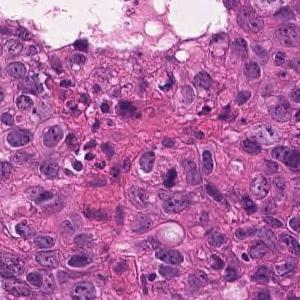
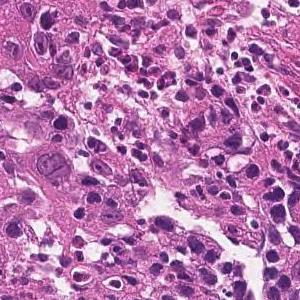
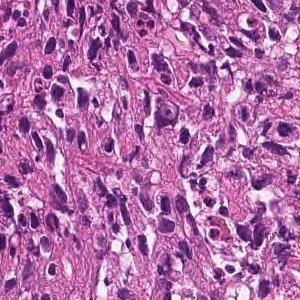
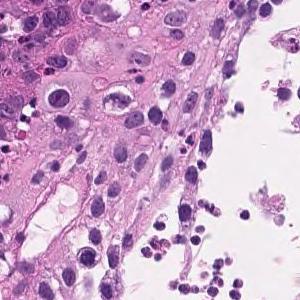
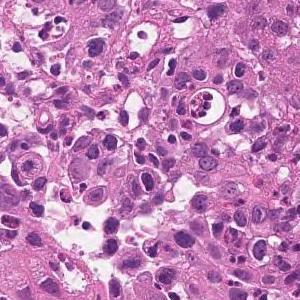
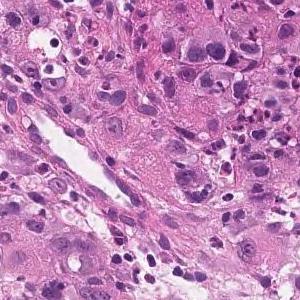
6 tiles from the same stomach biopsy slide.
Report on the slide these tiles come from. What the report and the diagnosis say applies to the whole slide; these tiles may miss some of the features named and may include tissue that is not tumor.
The superficial epithelium shows a large sheet-like shape, and some tumor tissue infiltrates with small irregular ducts. Poorly differentiated adenocarcinoma, solid-type
Histologic type: Poorly differentiated adenocarcinoma, solid type. This name comes from the Japanese Classification of Gastric Carcinoma; the WHO 2019 classification calls it tubular adenocarcinoma, poorly differentiated.
